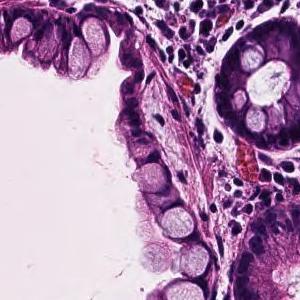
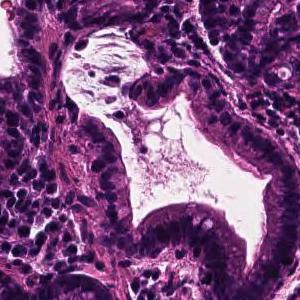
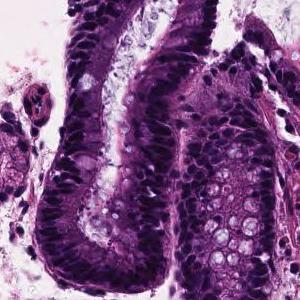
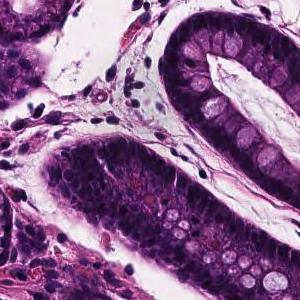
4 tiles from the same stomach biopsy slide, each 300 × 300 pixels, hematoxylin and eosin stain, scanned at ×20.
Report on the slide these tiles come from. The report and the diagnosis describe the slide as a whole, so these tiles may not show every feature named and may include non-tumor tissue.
In the superficial epithelium, tumor tissue infiltrated by partial fusion of medium-sized to small, irregular glandular ducts is observed. moderately differentiated tubular adenocarcinoma
